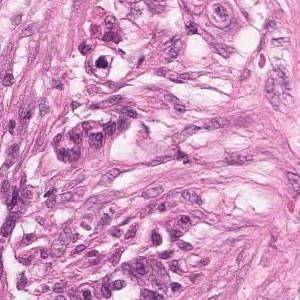
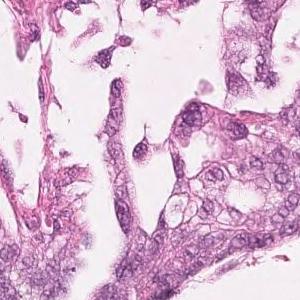
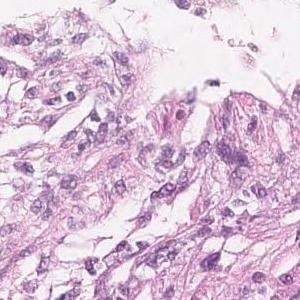
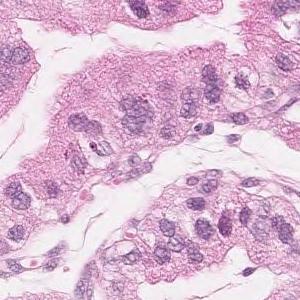
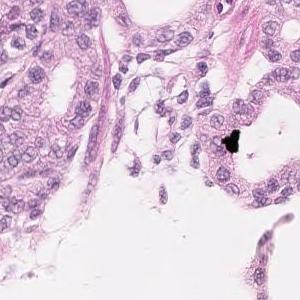
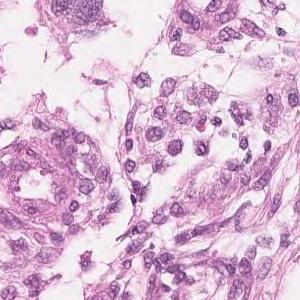
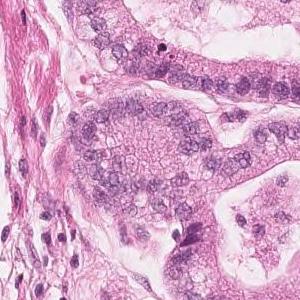
7 image tiles from a single gastric biopsy slide; hematoxylin and eosin stain; 20× magnification.
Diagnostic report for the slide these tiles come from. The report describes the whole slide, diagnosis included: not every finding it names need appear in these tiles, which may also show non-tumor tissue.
Highly columnar epithelium with disordered nuclear localization proliferates showing fusion ductal construction. moderately differentiated tubular adenocarcinoma
